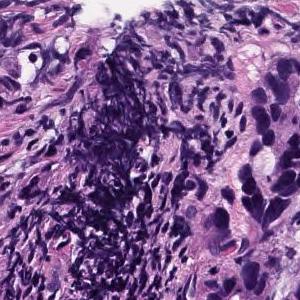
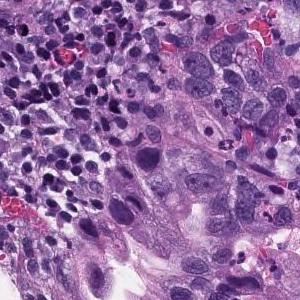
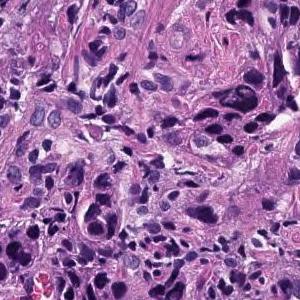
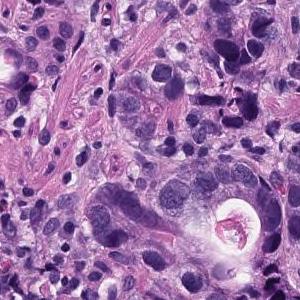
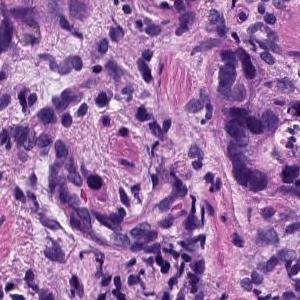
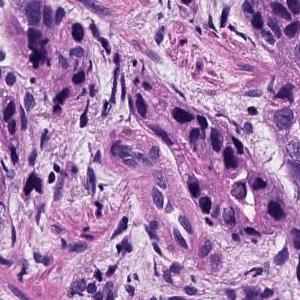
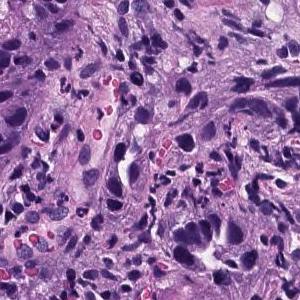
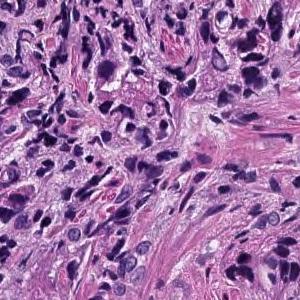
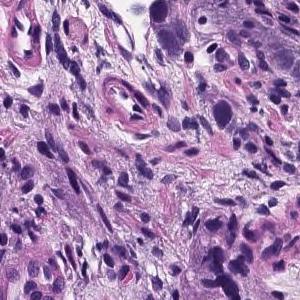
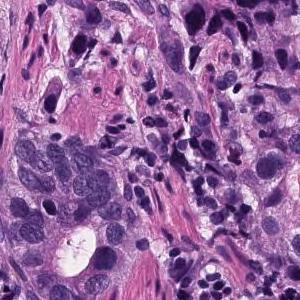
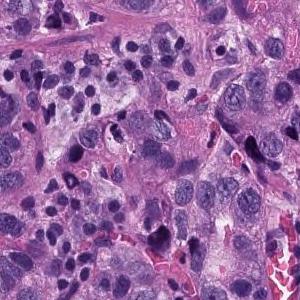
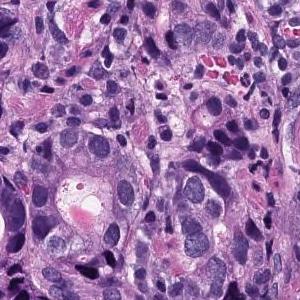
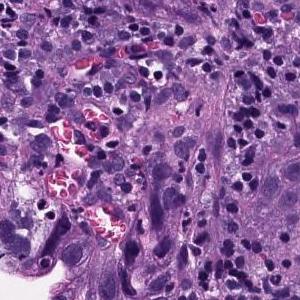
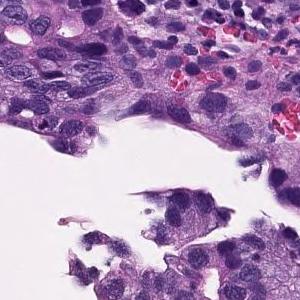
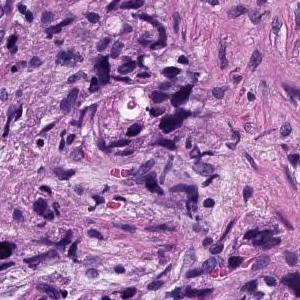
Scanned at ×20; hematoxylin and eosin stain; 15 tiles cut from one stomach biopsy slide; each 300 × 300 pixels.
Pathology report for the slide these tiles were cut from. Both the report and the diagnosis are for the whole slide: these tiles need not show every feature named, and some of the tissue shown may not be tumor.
In the epithelium, tumor tissue in which medium to small irregular gland ducts fuse with each other and infiltrate the submucosa. moderately differentiated tubular adenocarcinoma
